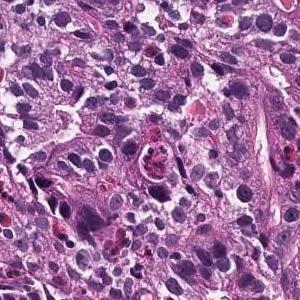
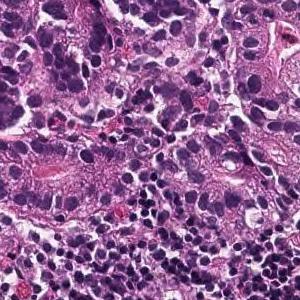
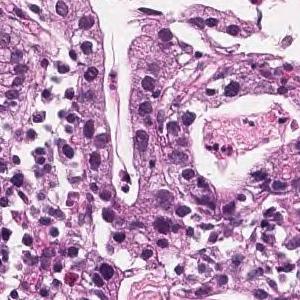
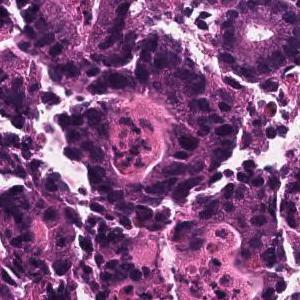
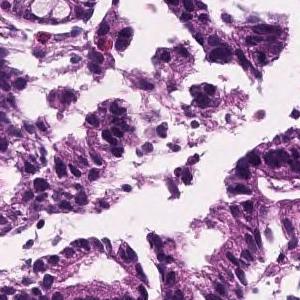
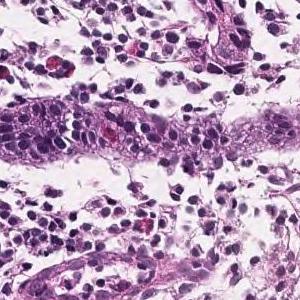
20× magnification, hematoxylin and eosin stain, 6 patches cut from one gastric biopsy slide.
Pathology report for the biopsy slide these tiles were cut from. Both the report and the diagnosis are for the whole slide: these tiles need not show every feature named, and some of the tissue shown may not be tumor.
Tumor tissue that forms medium-sized, irregular glandular ducts and is papillary and proliferate is observed confined to the mucosal epithelium. moderately differentiated tubular adenocarcinoma.
